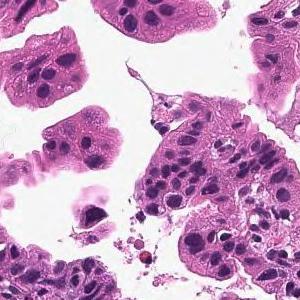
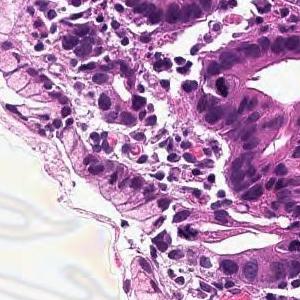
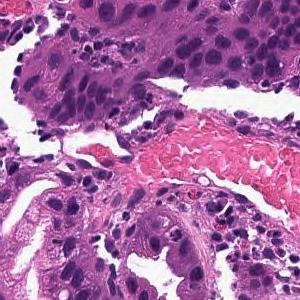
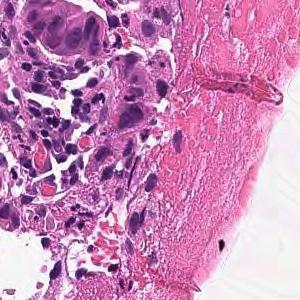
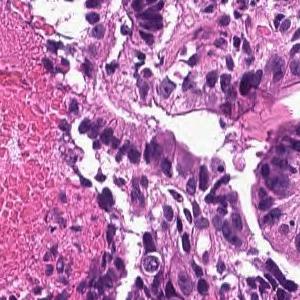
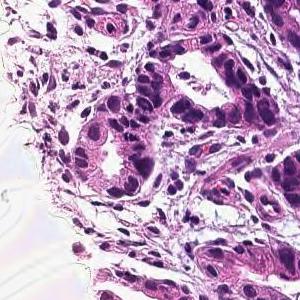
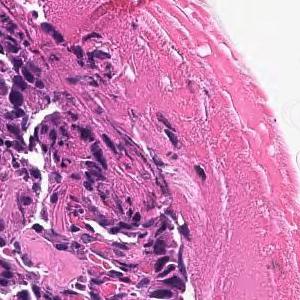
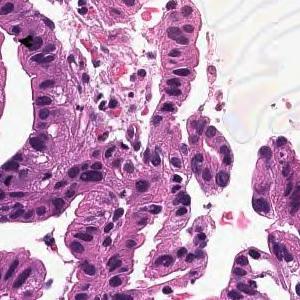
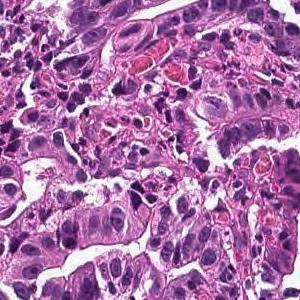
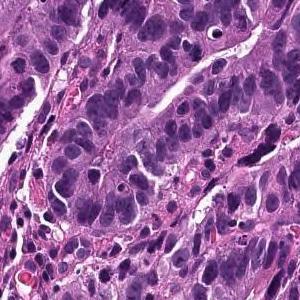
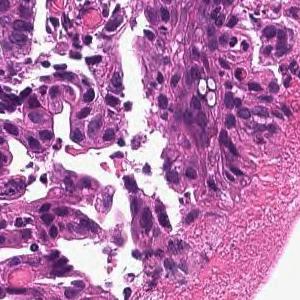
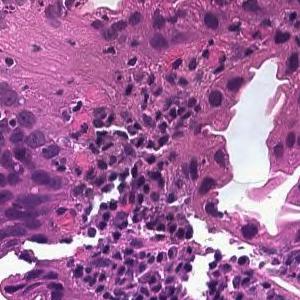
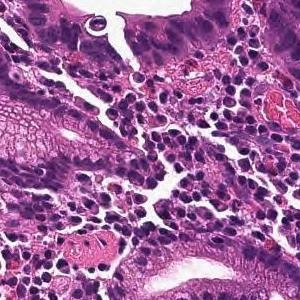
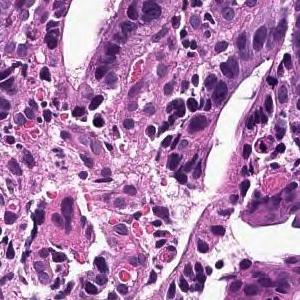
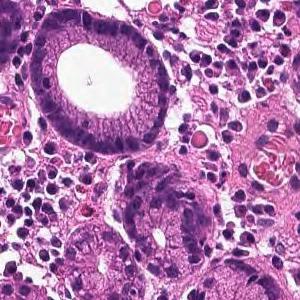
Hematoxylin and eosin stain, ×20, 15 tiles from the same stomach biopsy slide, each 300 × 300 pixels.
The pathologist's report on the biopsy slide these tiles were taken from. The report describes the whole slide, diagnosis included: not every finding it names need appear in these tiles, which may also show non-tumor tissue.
On the superficial epithelium, tumor tissue consisting of large, irregular glandular ducts partially fused and infiltrated is observed. Well to moderately differentiated tubular adenocarcinoma (well differentiated tubular adenocarcinoma, moderately differentiated tubular adenocarcinoma)
Tumor subtype: well to moderately differentiated tubular adenocarcinoma.
